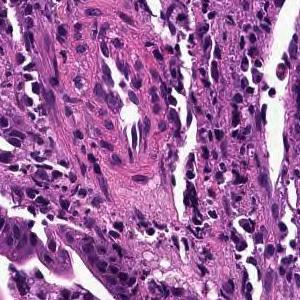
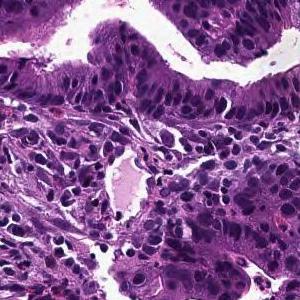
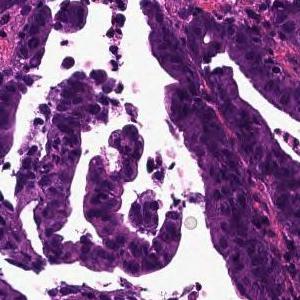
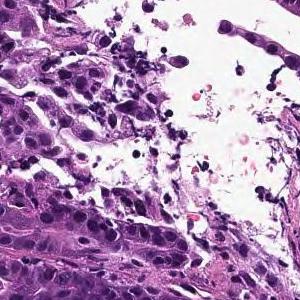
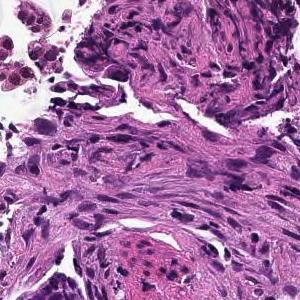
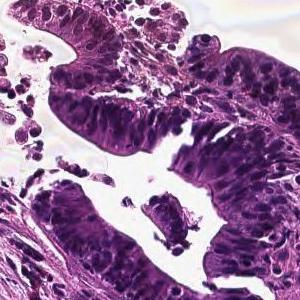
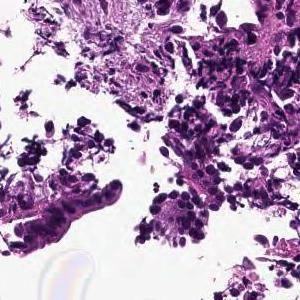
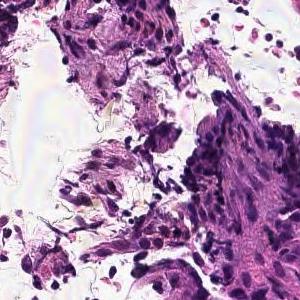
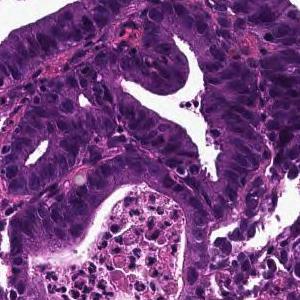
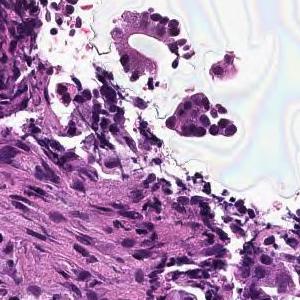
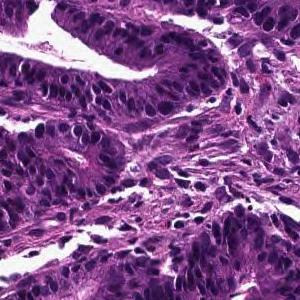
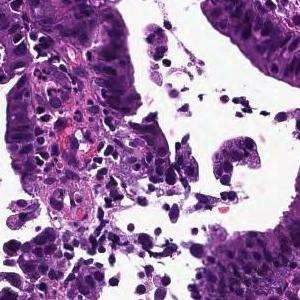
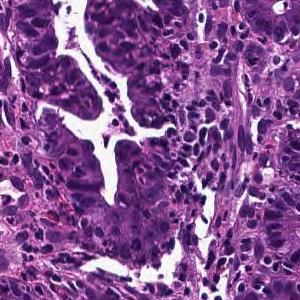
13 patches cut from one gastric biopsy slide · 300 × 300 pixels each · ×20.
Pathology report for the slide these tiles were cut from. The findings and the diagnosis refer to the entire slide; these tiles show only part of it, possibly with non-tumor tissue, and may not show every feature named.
Tumor cells are large, highly columnar, large club-shaped nuclei, and are associated with chromatin aggregation. Papillary adenocarcinoma.
